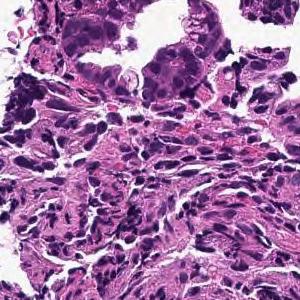
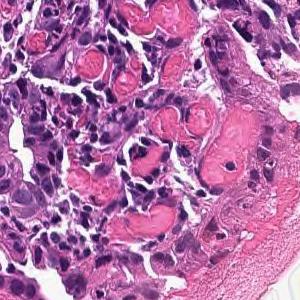
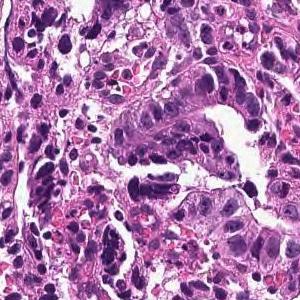
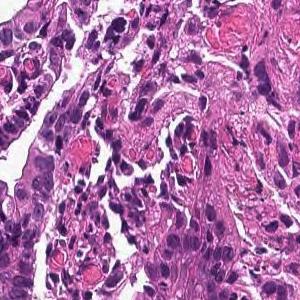
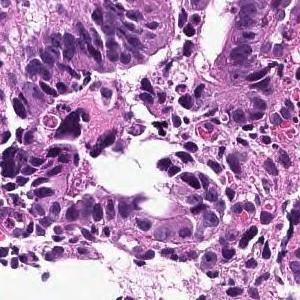
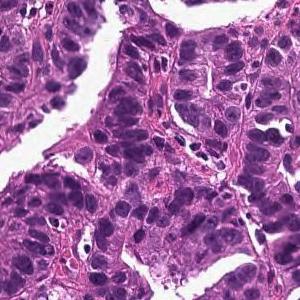
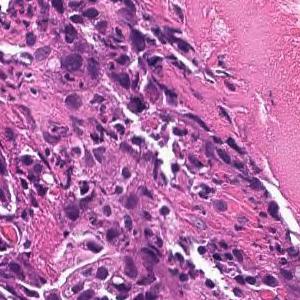
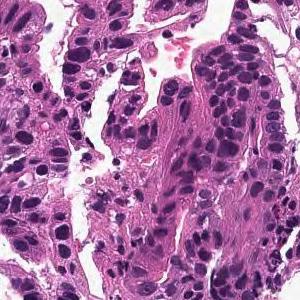
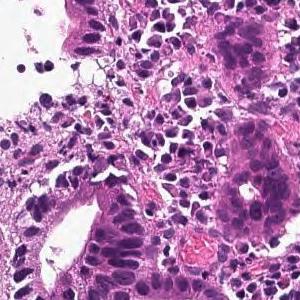
Hematoxylin and eosin stain; scanned at ×20; 9 tiles from the same stomach biopsy slide.
Report on the slide these tiles come from. What the report and the diagnosis say applies to the whole slide; these tiles may miss some of the features named and may include tissue that is not tumor.
On the superficial epithelium, tumor tissue consisting of large, irregular glandular ducts partially fused and infiltrated is observed. Well to moderately differentiated tubular adenocarcinoma (well differentiated tubular adenocarcinoma, moderately differentiated tubular adenocarcinoma)
Histologic type: Well to moderately differentiated tubular adenocarcinoma.
